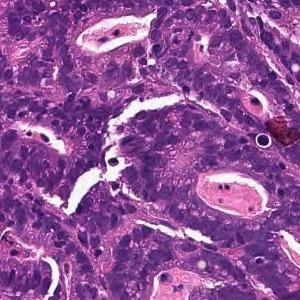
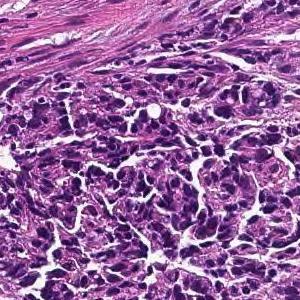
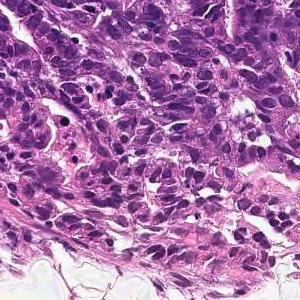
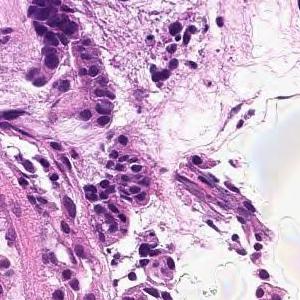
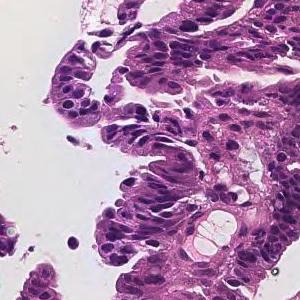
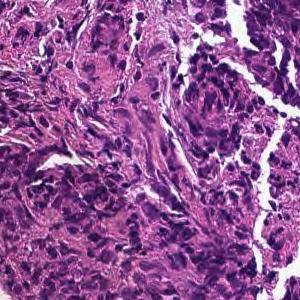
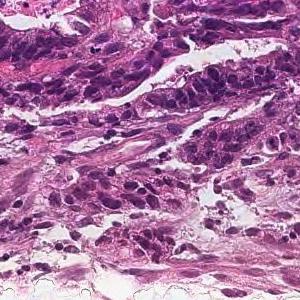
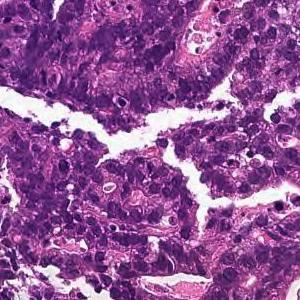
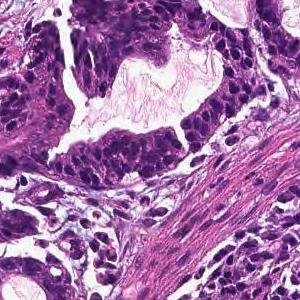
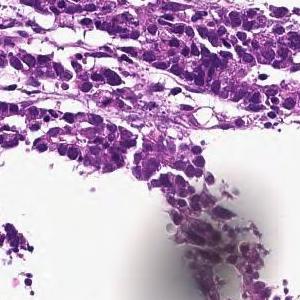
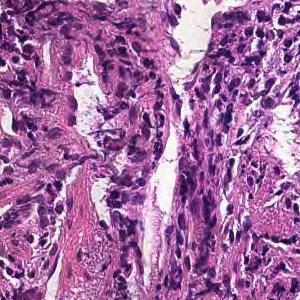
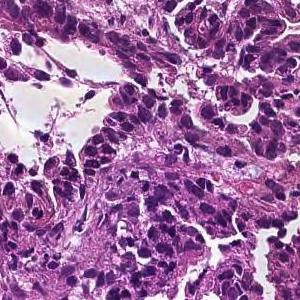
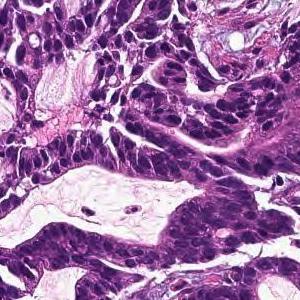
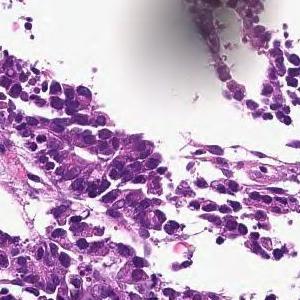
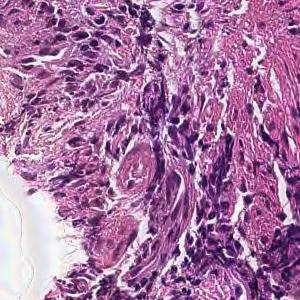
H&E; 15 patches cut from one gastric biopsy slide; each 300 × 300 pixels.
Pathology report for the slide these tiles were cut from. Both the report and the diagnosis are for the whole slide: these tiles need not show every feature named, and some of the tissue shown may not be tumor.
In the superficial epithelium, tumor tissue that invades by forming medium-sized to small, irregular ducts is observed. moderately differentiated tubular adenocarcinoma.
